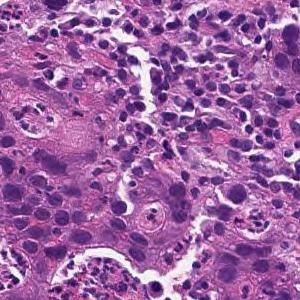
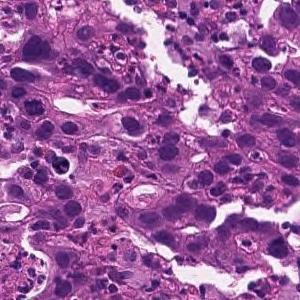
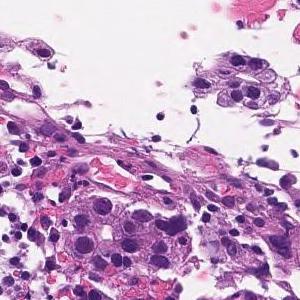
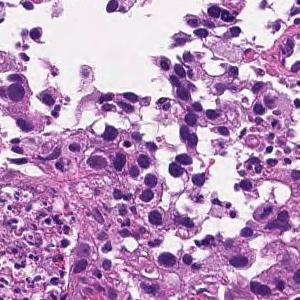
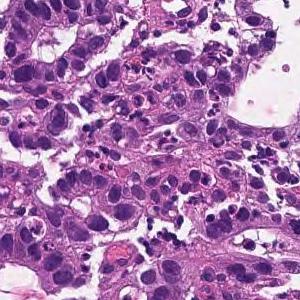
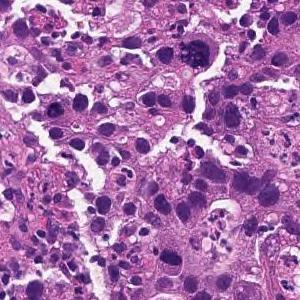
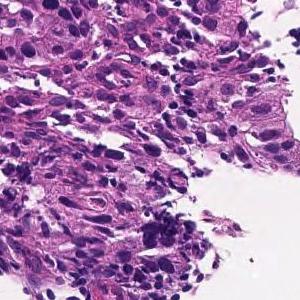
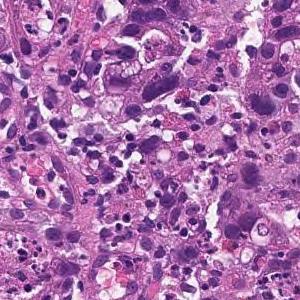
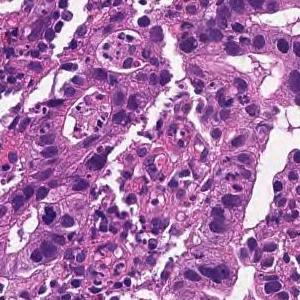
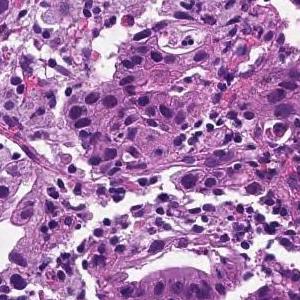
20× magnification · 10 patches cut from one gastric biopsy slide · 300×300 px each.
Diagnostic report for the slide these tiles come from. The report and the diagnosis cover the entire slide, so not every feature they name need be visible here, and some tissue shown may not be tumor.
Medium to small, irregular glandular ducts are formed in the superficial epithelium, and in some cases, the glandular ducts are fused to show solid alveolar lesions and infiltrating tumor tissue is observed. Moderately to poorly differentiated adenocarcinoma.
